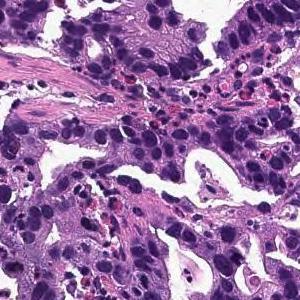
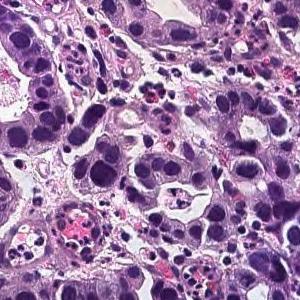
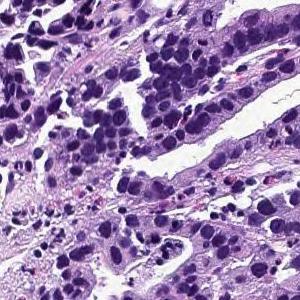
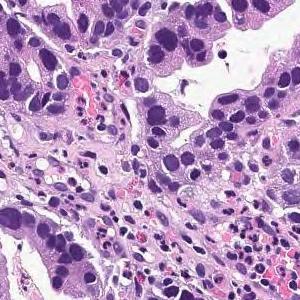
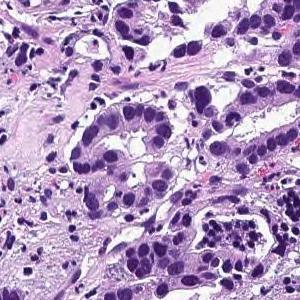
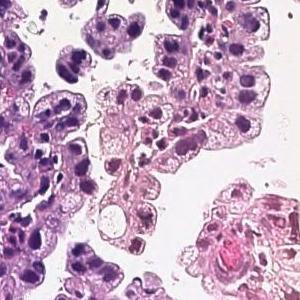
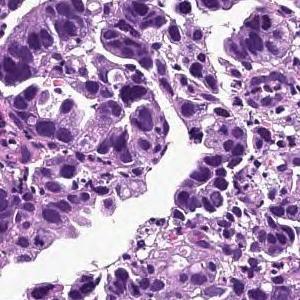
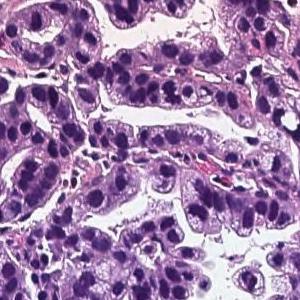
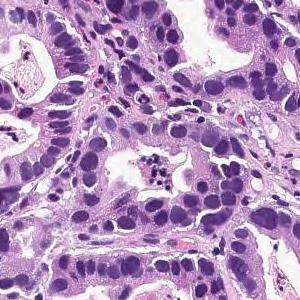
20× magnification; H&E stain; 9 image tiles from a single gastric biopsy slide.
Pathology report for the biopsy slide these tiles were cut from. The report describes the whole slide, diagnosis included: not every finding it names need appear in these tiles, which may also show non-tumor tissue.
On the superficial epithelium, tumor tissue consisting of large irregular glandular ducts partially fused and infiltrated is observed. Well to moderately differentiated tubular adenocarcinoma (well differentiated tubular adenocarcinoma, moderately differentiated tubular adenocarcinoma)
Tumor subtype: well to moderately differentiated tubular adenocarcinoma.
